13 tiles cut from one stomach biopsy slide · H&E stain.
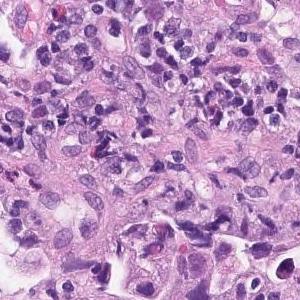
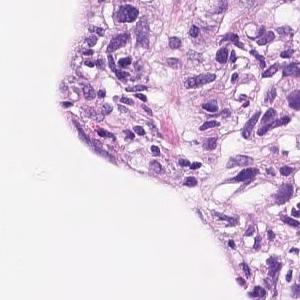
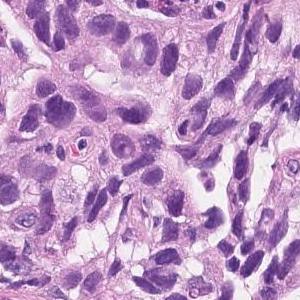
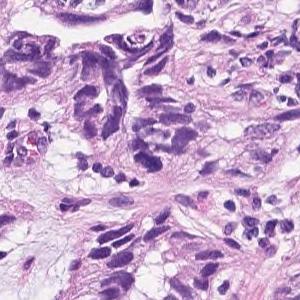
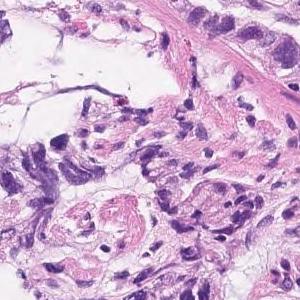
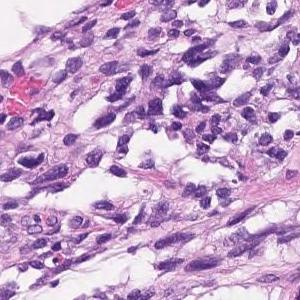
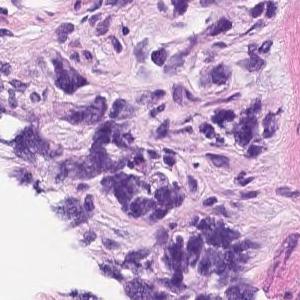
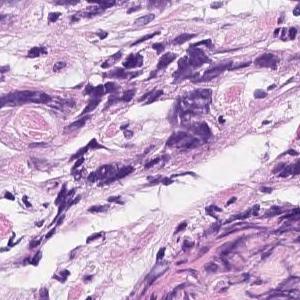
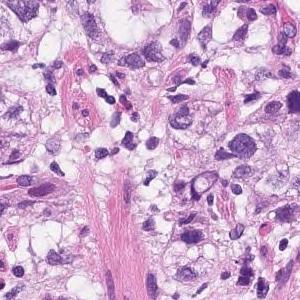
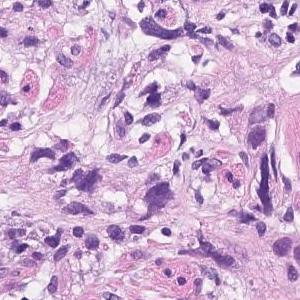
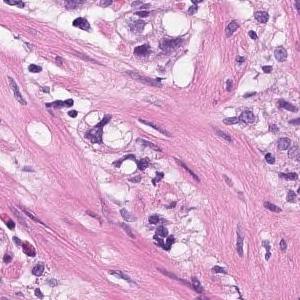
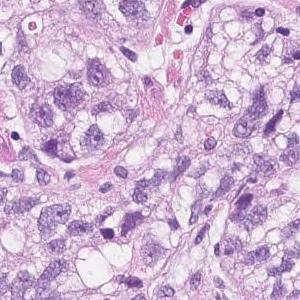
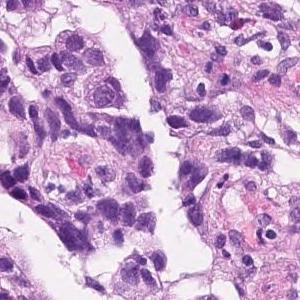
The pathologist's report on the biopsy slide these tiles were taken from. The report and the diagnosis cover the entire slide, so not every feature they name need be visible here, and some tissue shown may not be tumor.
In the superficial epithelium, tumor tissue that invades by forming medium-sized to small, irregular ducts is observed. Moderately differentiated adenocarcinoma.
Subtype: Moderately differentiated tubular adenocarcinoma.
